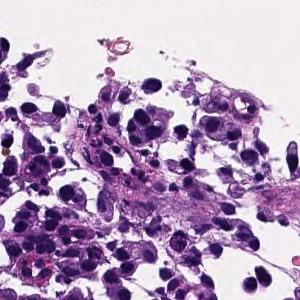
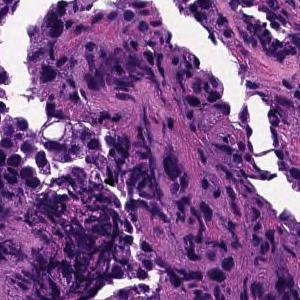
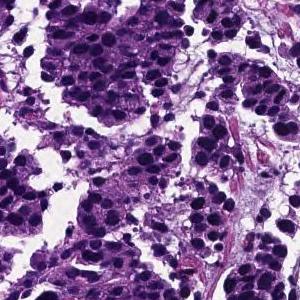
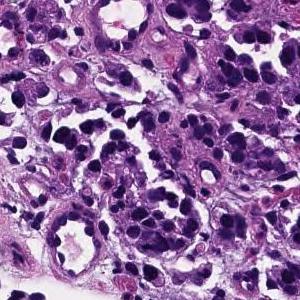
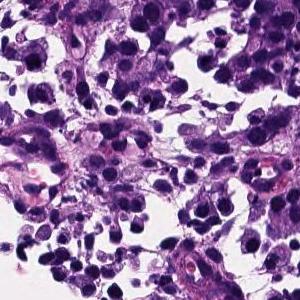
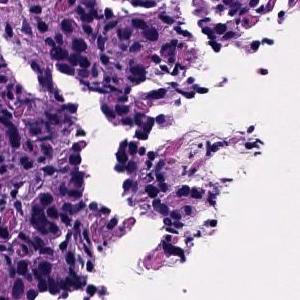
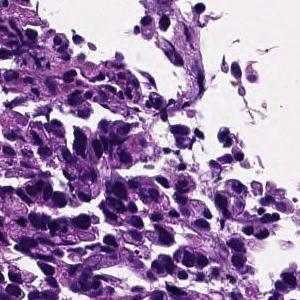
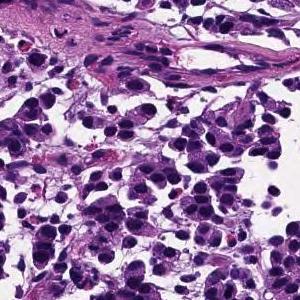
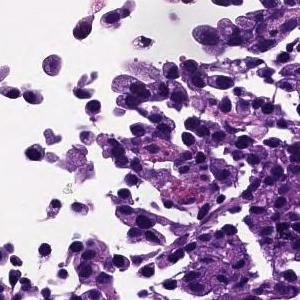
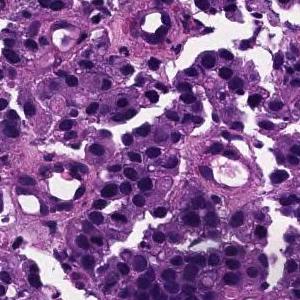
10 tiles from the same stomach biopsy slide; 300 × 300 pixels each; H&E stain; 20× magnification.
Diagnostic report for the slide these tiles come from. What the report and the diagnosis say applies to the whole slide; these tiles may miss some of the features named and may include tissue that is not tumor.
The superficial epithelium shows a large alveolar shape and infiltrates tumor tissue. Poorly differentiated adenocarcinoma, solid-type
Tumor subtype: poorly differentiated adenocarcinoma, solid type (Japanese Classification of Gastric Carcinoma). The WHO 2019 equivalent is tubular adenocarcinoma, poorly differentiated.
